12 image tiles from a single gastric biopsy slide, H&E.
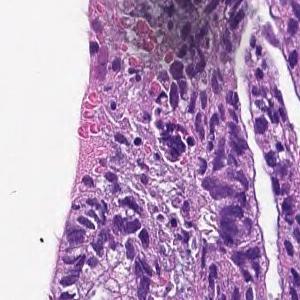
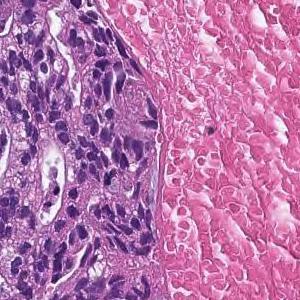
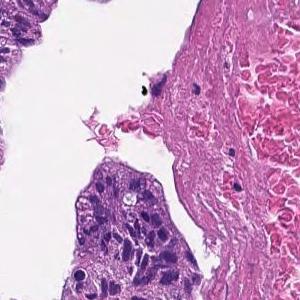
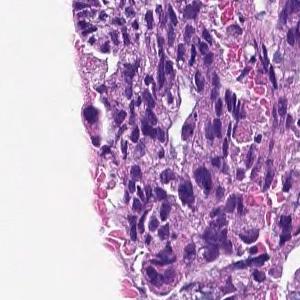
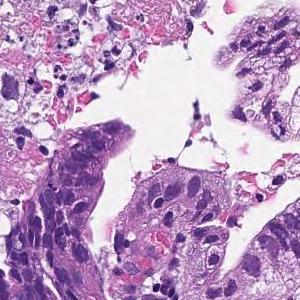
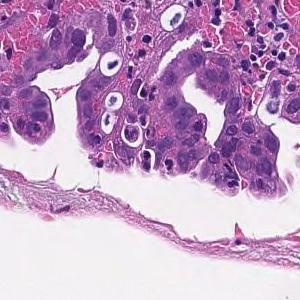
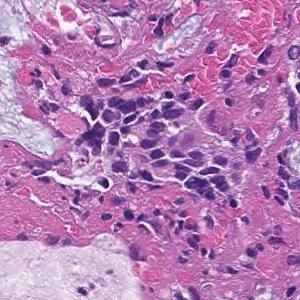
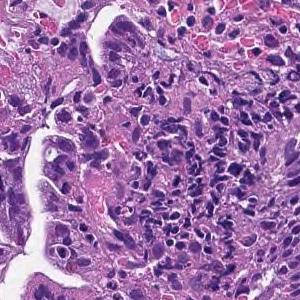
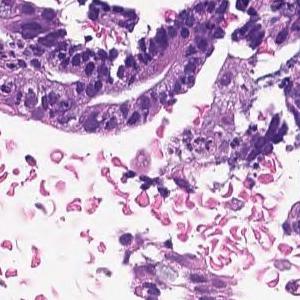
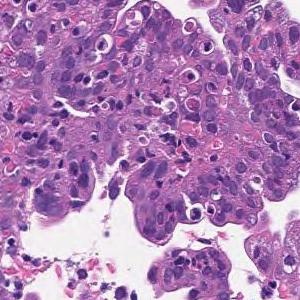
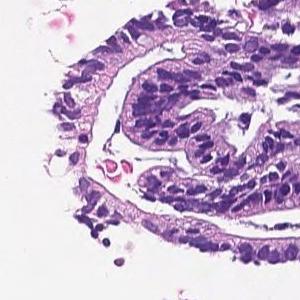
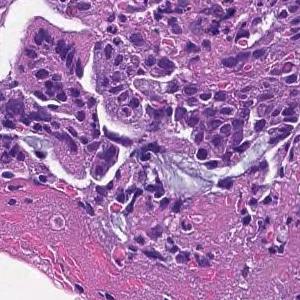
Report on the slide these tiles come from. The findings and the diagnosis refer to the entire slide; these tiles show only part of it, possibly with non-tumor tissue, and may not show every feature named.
In the superficial epithelium, tumor tissue that invades by forming medium-sized to small, irregular ducts is observed. moderately differentiated tubular adenocarcinoma.
